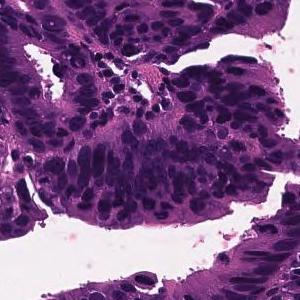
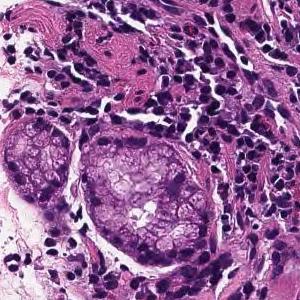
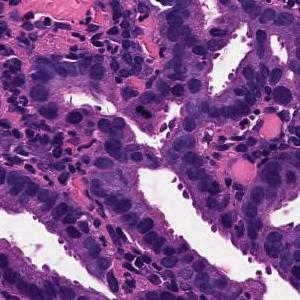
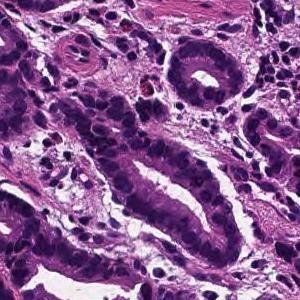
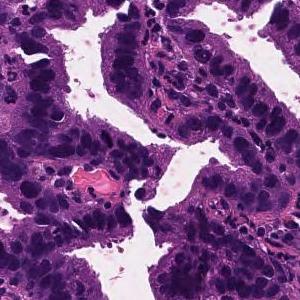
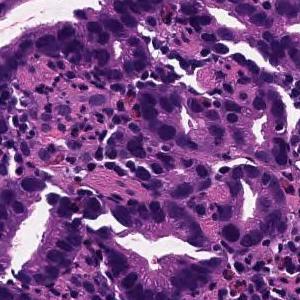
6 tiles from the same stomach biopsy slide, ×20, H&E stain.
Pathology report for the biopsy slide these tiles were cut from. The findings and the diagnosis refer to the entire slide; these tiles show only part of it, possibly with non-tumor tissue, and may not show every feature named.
On the superficial epithelium, tumor tissue is found in which medium-sized irregular gland ducts fuse with each other and infiltrate. moderately differentiated tubular adenocarcinoma
